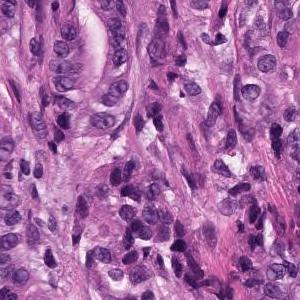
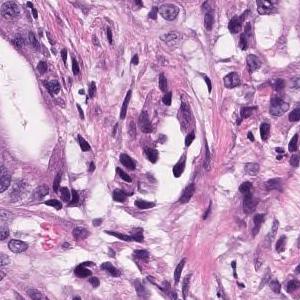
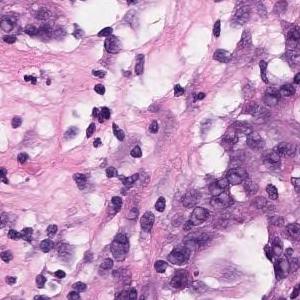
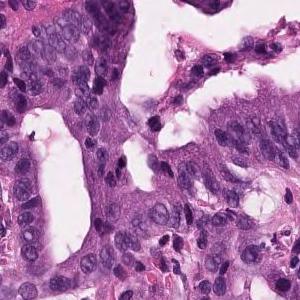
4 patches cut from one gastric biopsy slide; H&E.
Pathology report for the slide these tiles were cut from. Both the report and the diagnosis are for the whole slide: these tiles need not show every feature named, and some of the tissue shown may not be tumor.
In the superficial epithelium, tumor tissue that invades by forming medium-sized to small, irregular ducts is observed. Moderately differentiated adenocarcinoma.
Classified as moderately differentiated tubular adenocarcinoma.
